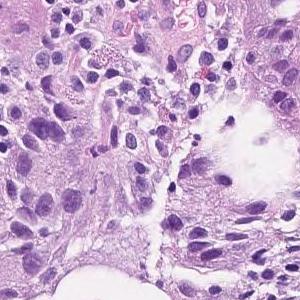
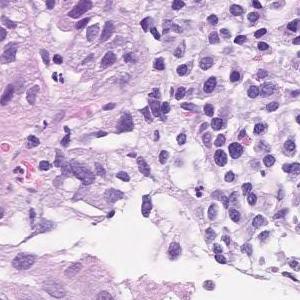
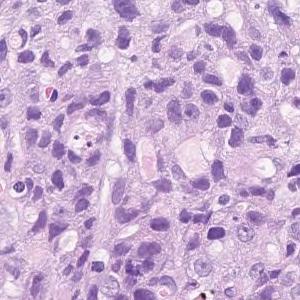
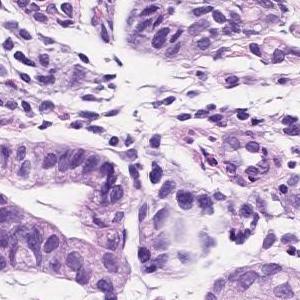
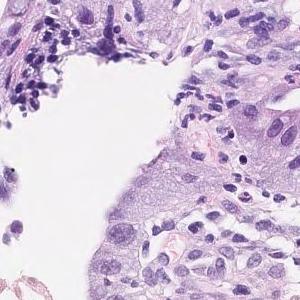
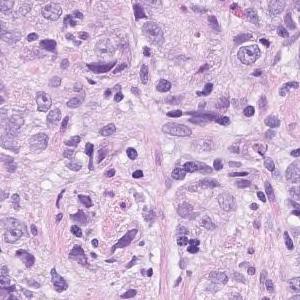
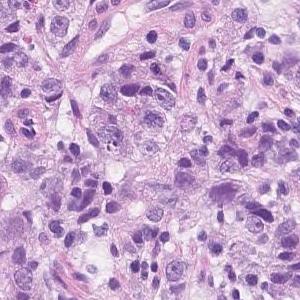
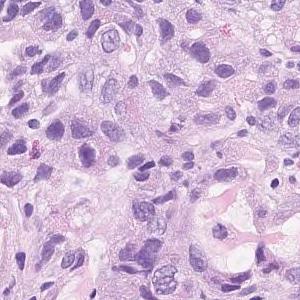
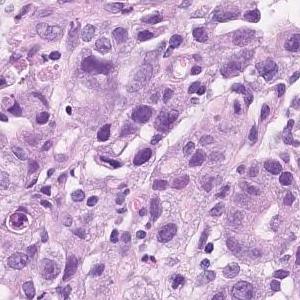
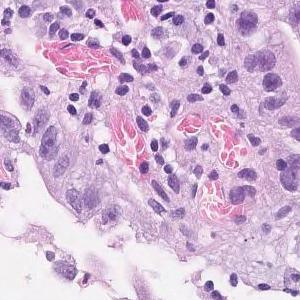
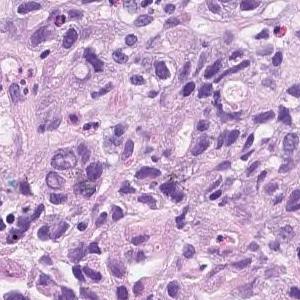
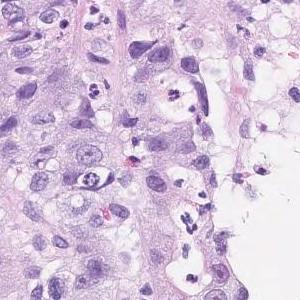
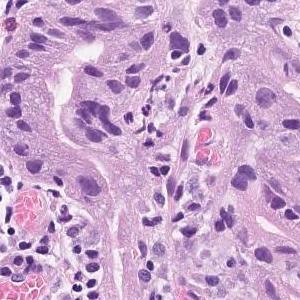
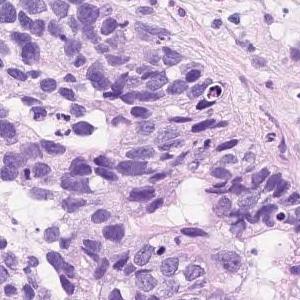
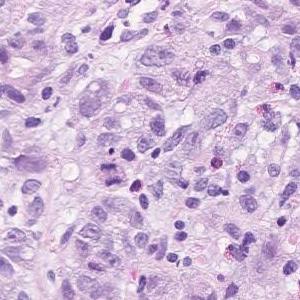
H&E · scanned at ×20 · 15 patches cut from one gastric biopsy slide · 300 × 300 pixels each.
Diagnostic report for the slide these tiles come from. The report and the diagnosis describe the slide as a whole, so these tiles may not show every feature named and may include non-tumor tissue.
In the superficial epithelium, tumor tissue that invades by forming medium-sized to small, irregular ducts is observed. Moderately to poorly differentiated adenocarcinoma
